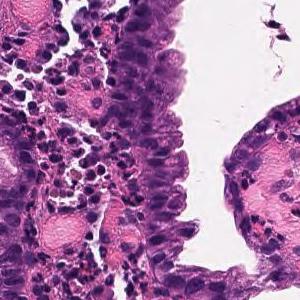
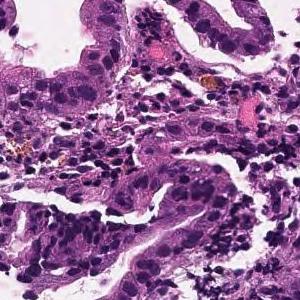
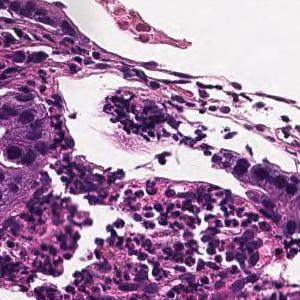
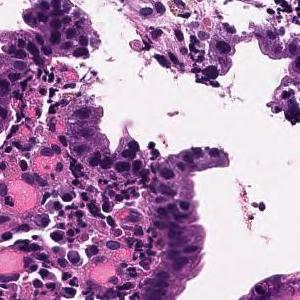
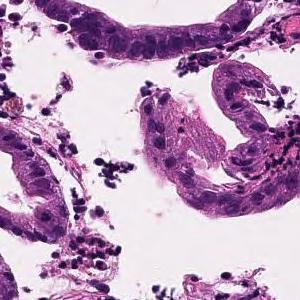
5 patches cut from one gastric biopsy slide, 300×300 px each, ×20.
Report on the slide these tiles come from. The report and the diagnosis cover the entire slide, so not every feature they name need be visible here, and some tissue shown may not be tumor.
From the superficial epithelium to the muscularis mucosae, tumor tissue consisting of medium-sized and irregular glandular ducts infiltrating is observed. Well differentiated tubular adenocarcinoma
